Hematoxylin and eosin stain; 20× magnification; 14 tiles cut from one stomach biopsy slide.
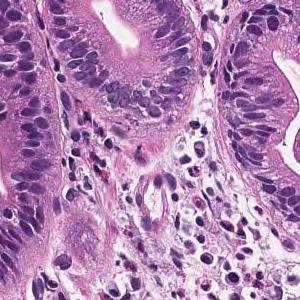
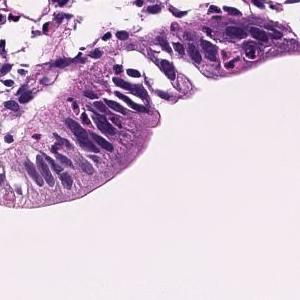
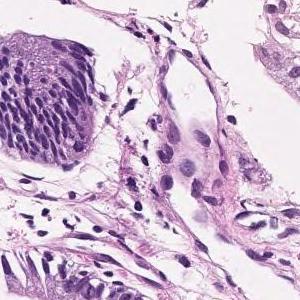
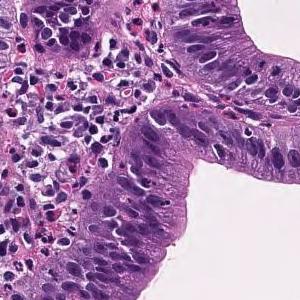
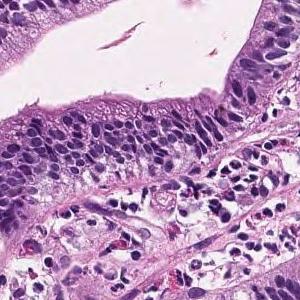
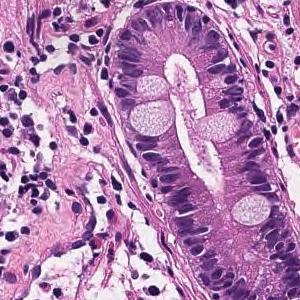
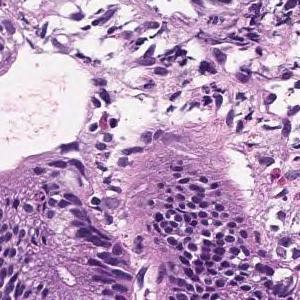
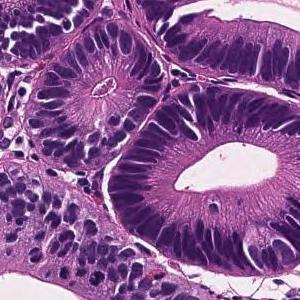
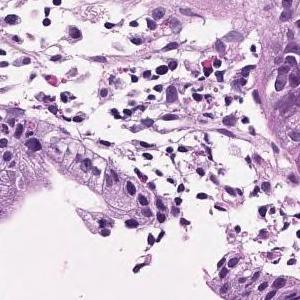
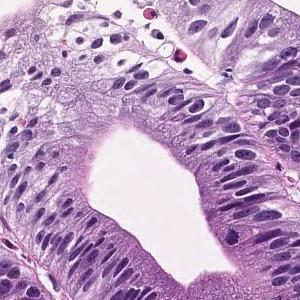
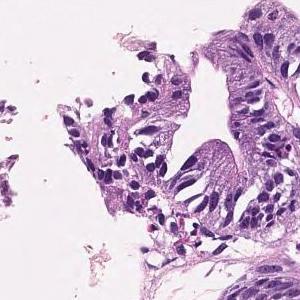
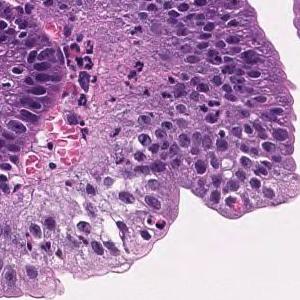
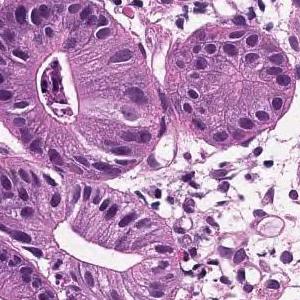
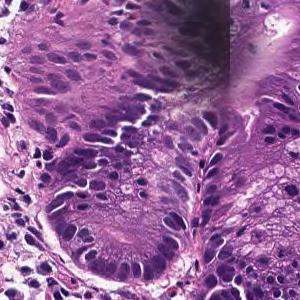
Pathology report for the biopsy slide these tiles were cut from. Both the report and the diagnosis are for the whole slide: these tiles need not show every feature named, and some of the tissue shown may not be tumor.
In the superficial epithelium, tumor tissue that invades by forming medium-sized to small, irregular ducts is observed. Well differentiated tubular adenocarcinoma.
